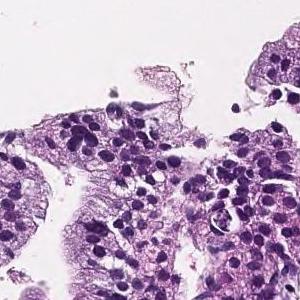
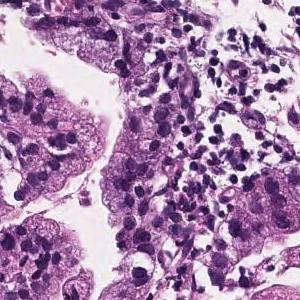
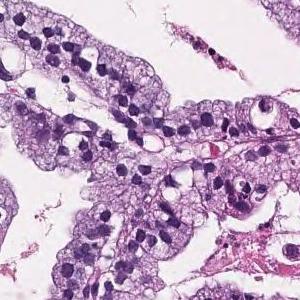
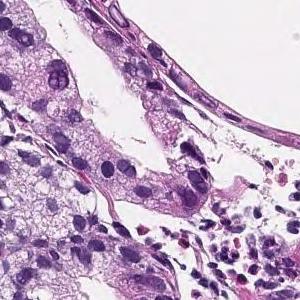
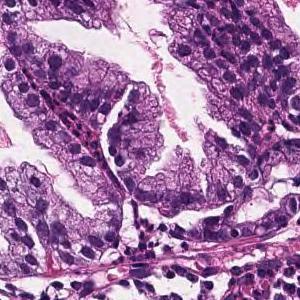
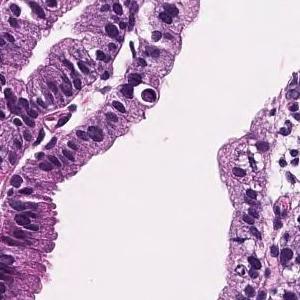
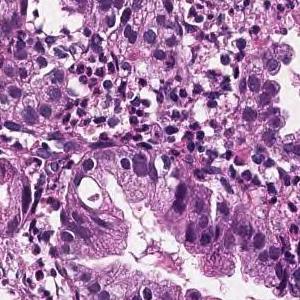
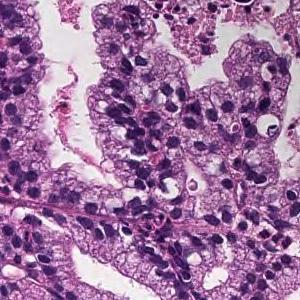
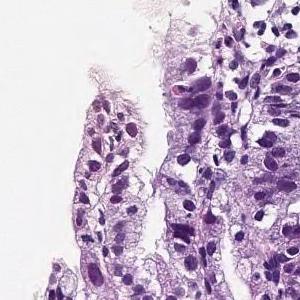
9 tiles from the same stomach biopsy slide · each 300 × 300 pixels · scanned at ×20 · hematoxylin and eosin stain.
Report on the slide these tiles come from. What the report and the diagnosis say applies to the whole slide; these tiles may miss some of the features named and may include tissue that is not tumor.
In the superficial epithelium, tumor tissue that infiltrates by forming medium-sized papillary or small irregular ducts is observed. Papillary adenocarcinoma
